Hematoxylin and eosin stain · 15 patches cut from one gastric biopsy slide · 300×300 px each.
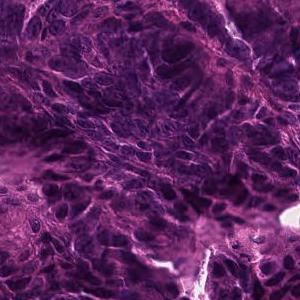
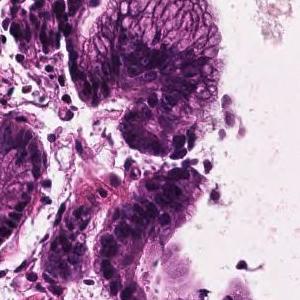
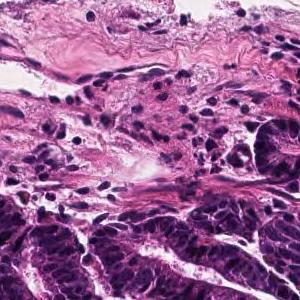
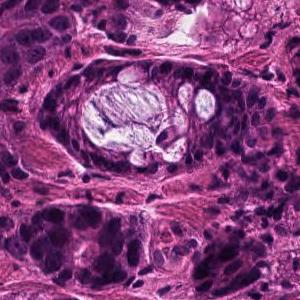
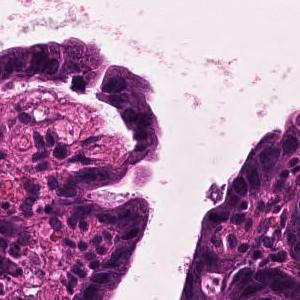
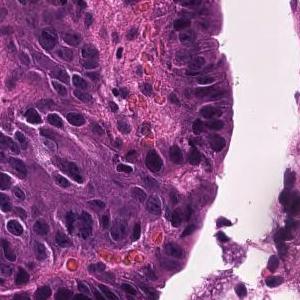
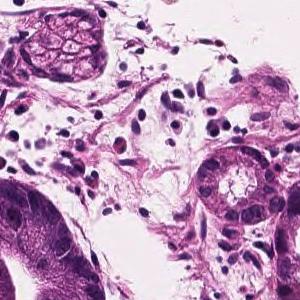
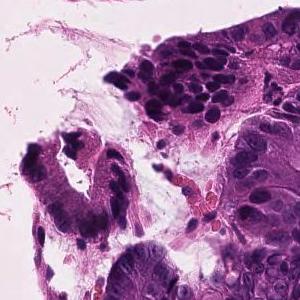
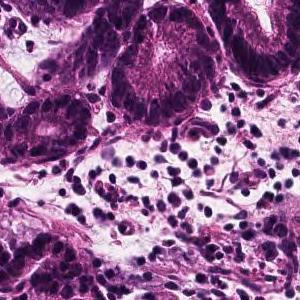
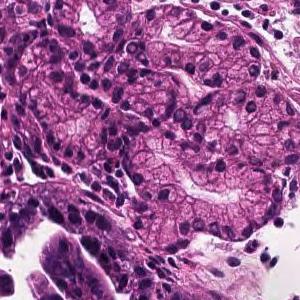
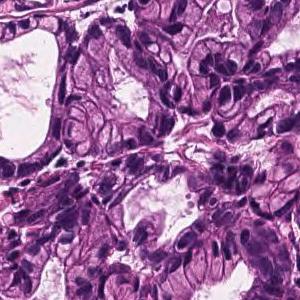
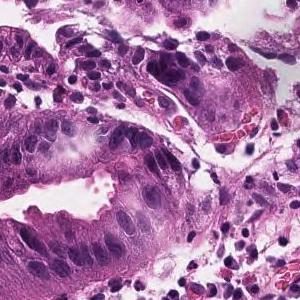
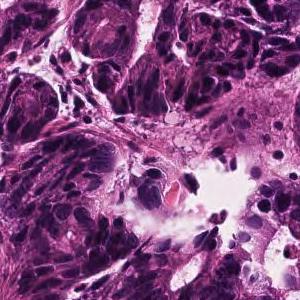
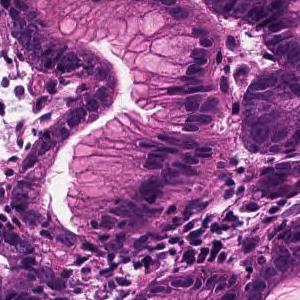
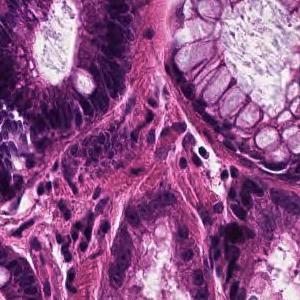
The pathologist's report on the biopsy slide these tiles were taken from. The report and the diagnosis describe the slide as a whole, so these tiles may not show every feature named and may include non-tumor tissue.
In the superficial epithelium, tumor tissue that invades by forming medium-sized to small, irregular ducts is observed. Well differentiated tubular adenocarcinoma.
